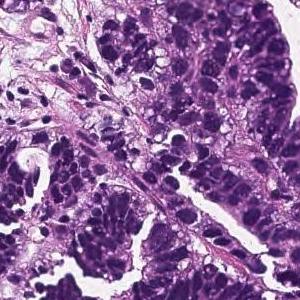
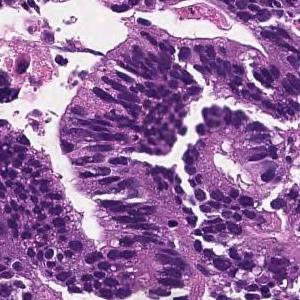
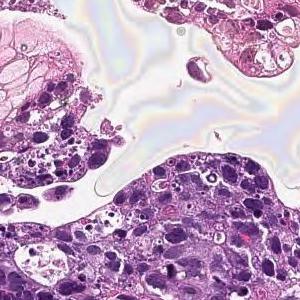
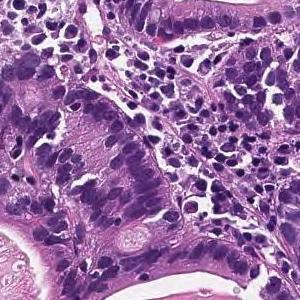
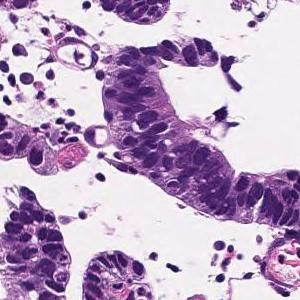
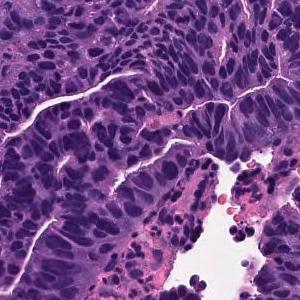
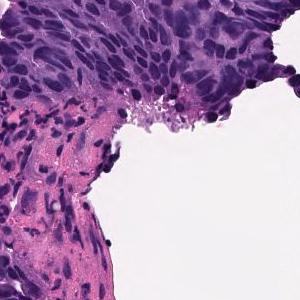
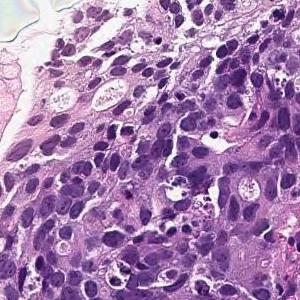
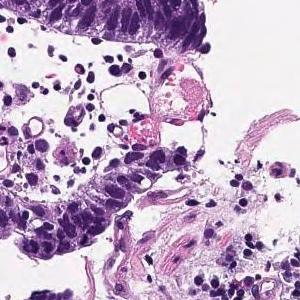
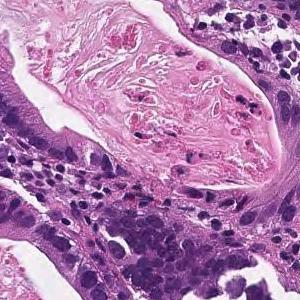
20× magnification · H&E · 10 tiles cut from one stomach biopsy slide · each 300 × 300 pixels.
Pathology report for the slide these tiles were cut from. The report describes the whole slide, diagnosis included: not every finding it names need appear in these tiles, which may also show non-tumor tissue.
In the superficial epithelium, tumor tissue that invades by forming medium-sized to small, irregular ducts is observed. moderately differentiated tubular adenocarcinoma.
